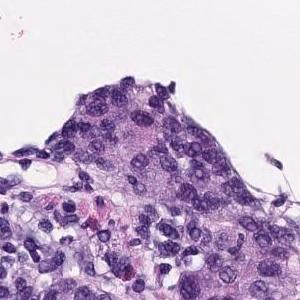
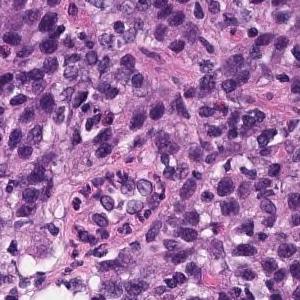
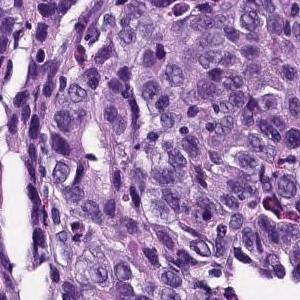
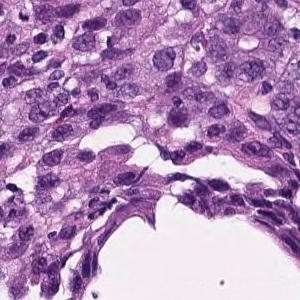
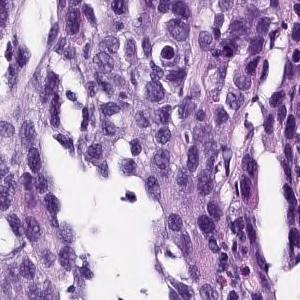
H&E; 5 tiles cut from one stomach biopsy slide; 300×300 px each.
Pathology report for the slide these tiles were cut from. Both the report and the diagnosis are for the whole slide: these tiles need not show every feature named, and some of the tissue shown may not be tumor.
In the superficial epithelium, tumor tissue that invades by forming medium-sized to small, irregular ducts is observed. Moderately differentiated adenocarcinoma.
Subtype: Moderately differentiated tubular adenocarcinoma.
